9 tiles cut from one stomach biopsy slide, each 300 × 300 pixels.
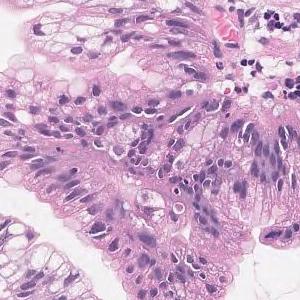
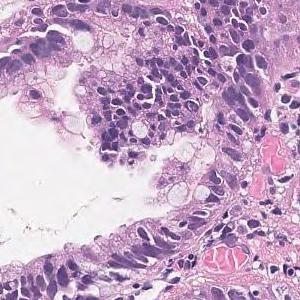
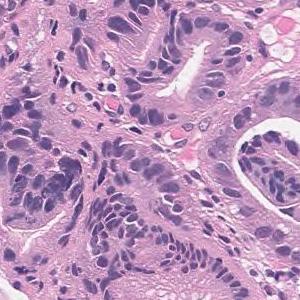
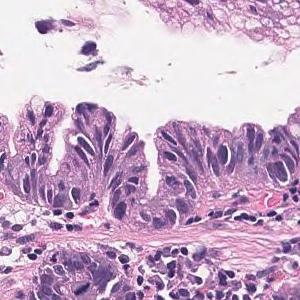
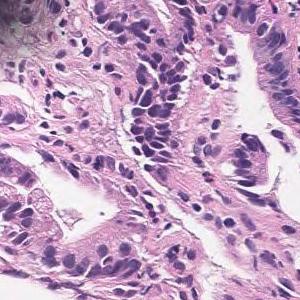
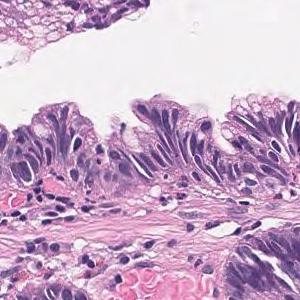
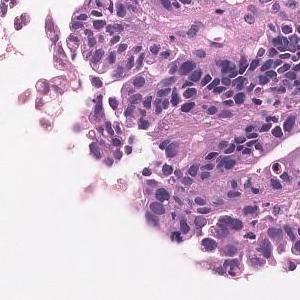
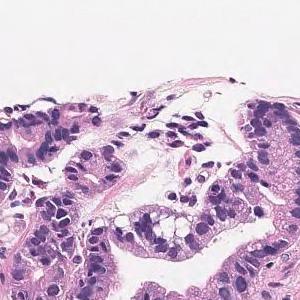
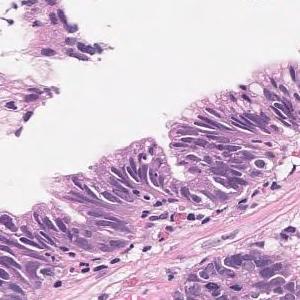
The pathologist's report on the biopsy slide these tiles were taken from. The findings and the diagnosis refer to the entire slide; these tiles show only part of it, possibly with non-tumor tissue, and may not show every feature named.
Tumor tissue that grows tubular from the surface to the glandular fossa is seen. Adenocarcinoma.
Tumor subtype: well differentiated tubular adenocarcinoma.
